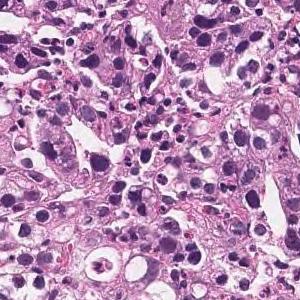
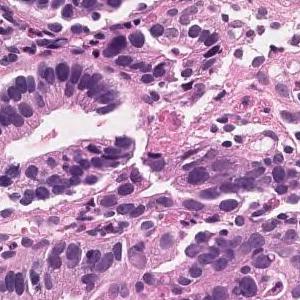
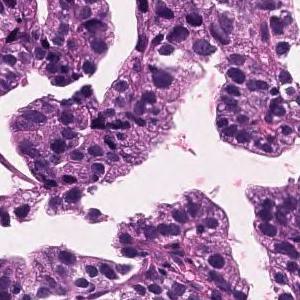
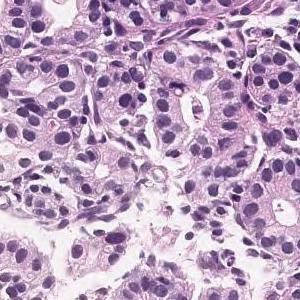
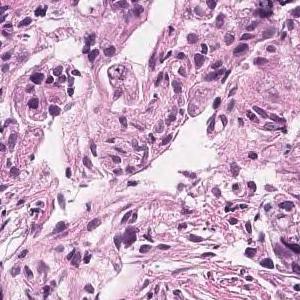
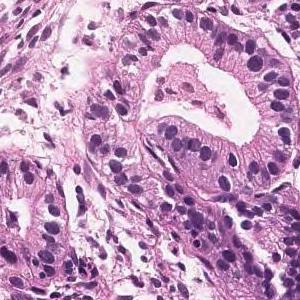
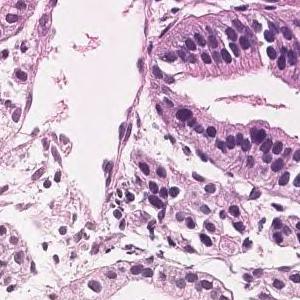
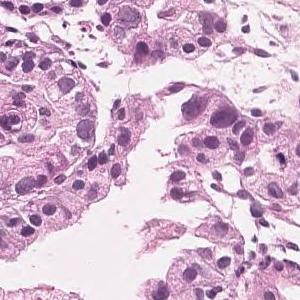
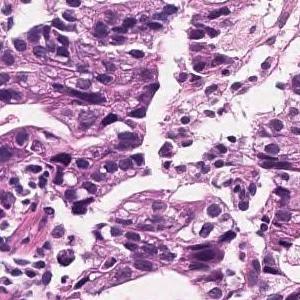
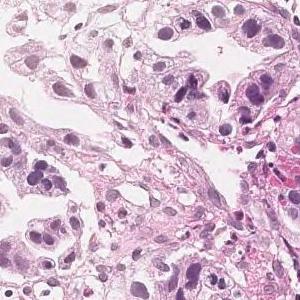
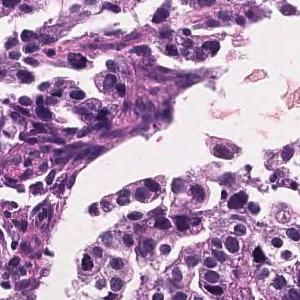
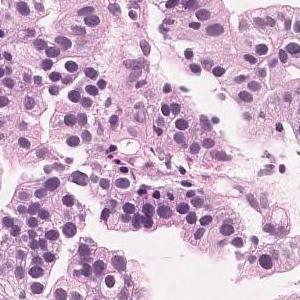
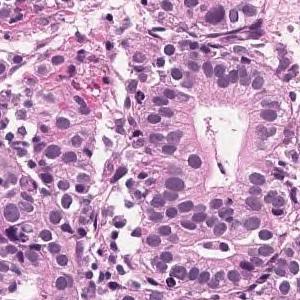
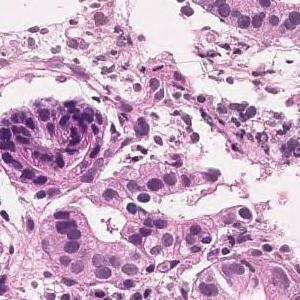
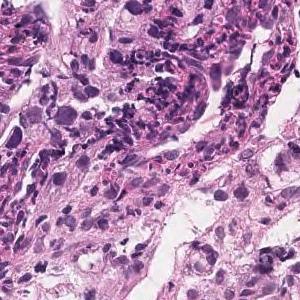
15 patches cut from one gastric biopsy slide; scanned at ×20; H&E.
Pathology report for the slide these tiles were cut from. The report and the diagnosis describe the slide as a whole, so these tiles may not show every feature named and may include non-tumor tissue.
In the superficial epithelium, tumor tissue that invades by forming medium-sized to small, irregular ducts is observed. moderately differentiated tubular adenocarcinoma.
